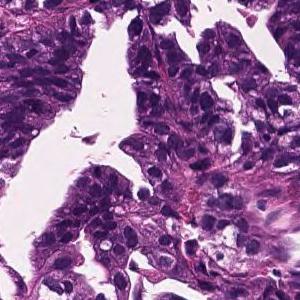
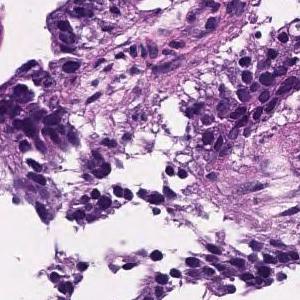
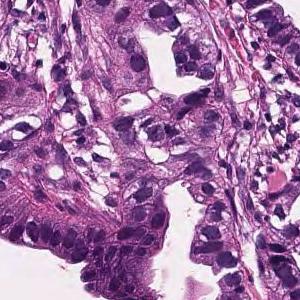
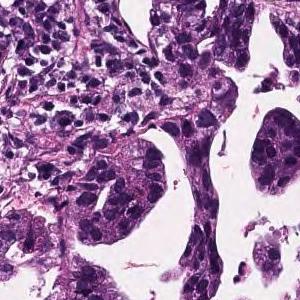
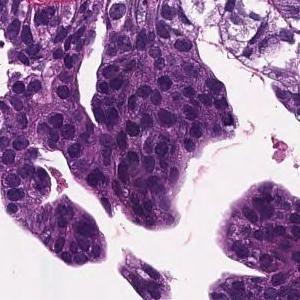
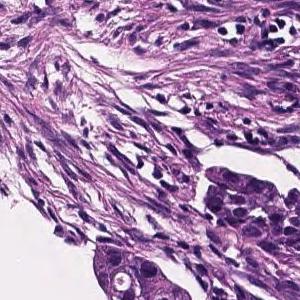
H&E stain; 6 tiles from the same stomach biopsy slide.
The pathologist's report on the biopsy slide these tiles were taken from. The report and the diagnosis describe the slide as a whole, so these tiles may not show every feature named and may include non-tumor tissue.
In the lamina propria, tumor tissue that invades by forming medium-sized to small, irregular glandular ducts is observed. moderately differentiated tubular adenocarcinoma
